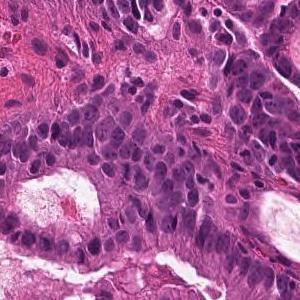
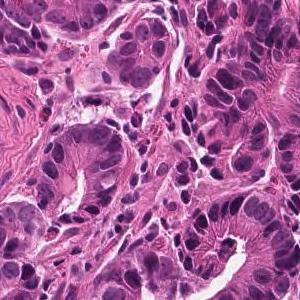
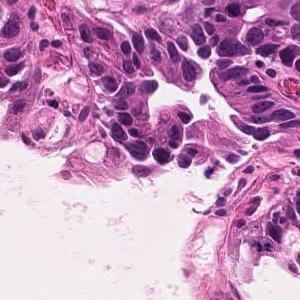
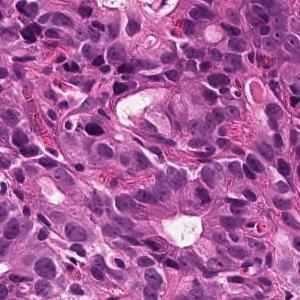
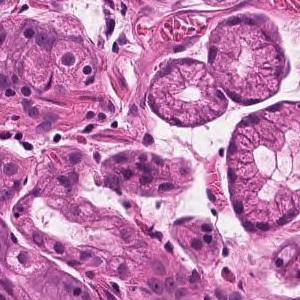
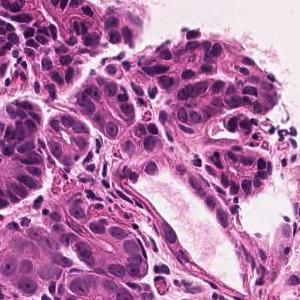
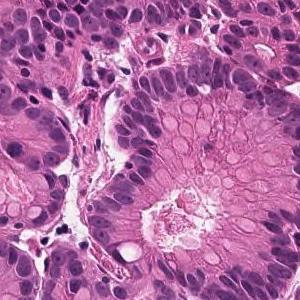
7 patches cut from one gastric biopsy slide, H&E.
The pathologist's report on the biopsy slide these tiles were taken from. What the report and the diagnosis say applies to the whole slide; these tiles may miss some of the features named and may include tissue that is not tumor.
In the superficial epithelium, tumor tissue that invades by forming medium-sized to small, irregular ducts is observed. Well differentiated tubular adenocarcinoma.
